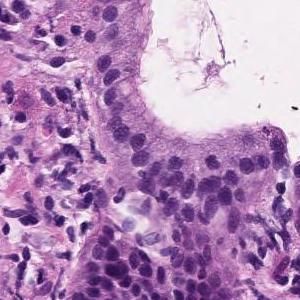
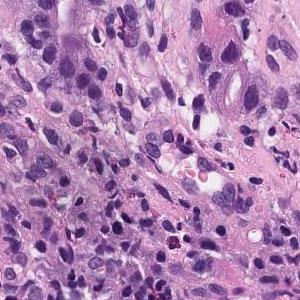
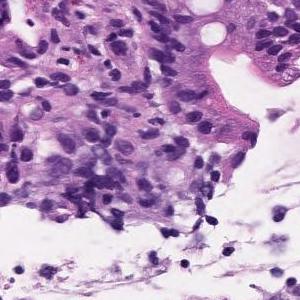
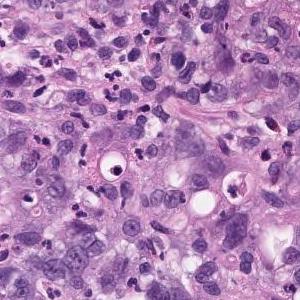
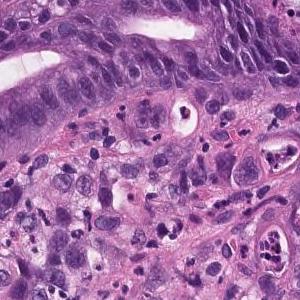
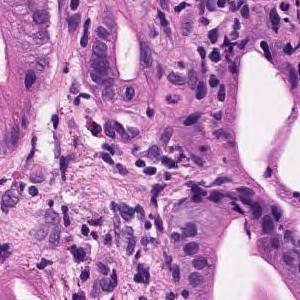
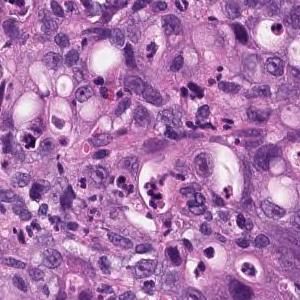
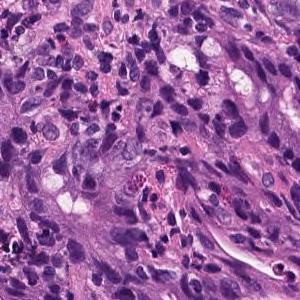
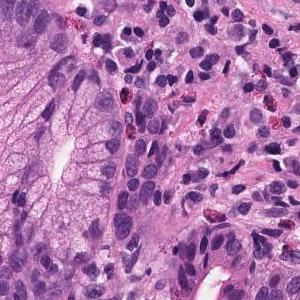
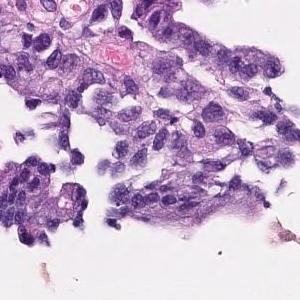
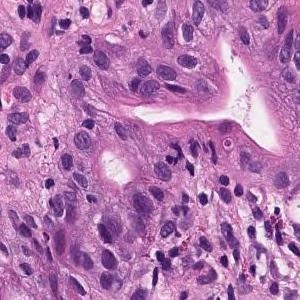
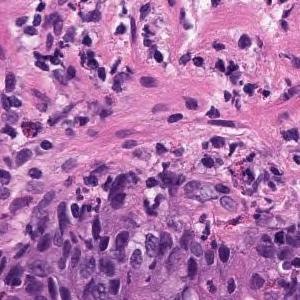
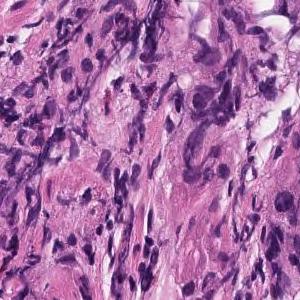
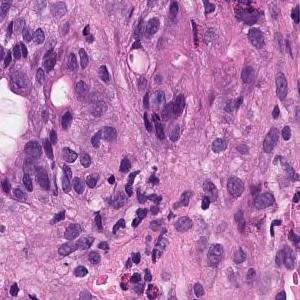
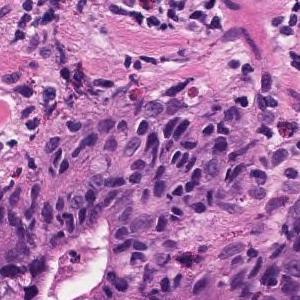
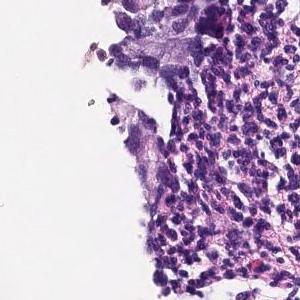
16 image tiles from a single gastric biopsy slide · 300×300 px each · 20× magnification · H&E stain.
Pathology report for the slide these tiles were cut from. The findings and the diagnosis refer to the entire slide; these tiles show only part of it, possibly with non-tumor tissue, and may not show every feature named.
moderately differentiated tubular adenocarcinoma, Poorly differentiated adenocarcinoma
Labeled in the dataset as poorly differentiated adenocarcinoma, solid type (Japanese Classification of Gastric Carcinoma). The WHO 2019 equivalent is tubular adenocarcinoma, poorly differentiated.
